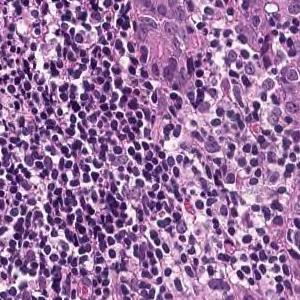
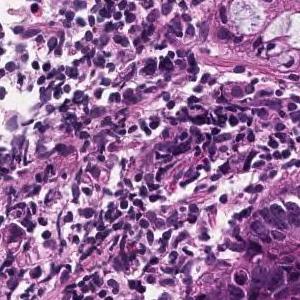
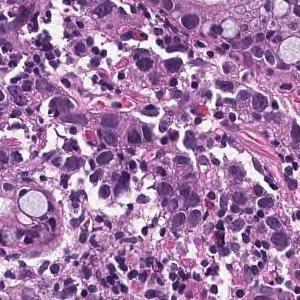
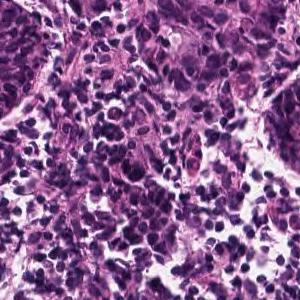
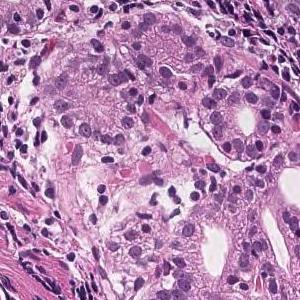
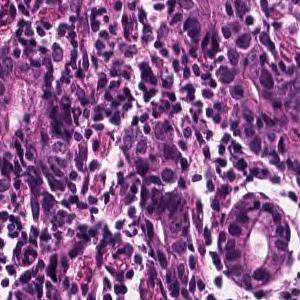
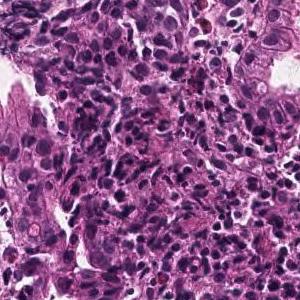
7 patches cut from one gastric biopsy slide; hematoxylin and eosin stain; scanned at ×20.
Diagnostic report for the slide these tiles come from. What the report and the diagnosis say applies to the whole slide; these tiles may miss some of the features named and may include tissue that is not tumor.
Tumor tissue consisting of medium-sized, cord-like or irregular glandular infiltration is observed in the superficial epithelium. Poorly differentiated adenocarcinoma, non-solid type or moderately differentiated tubular adenocarcinoma
Histological subtype: Moderately to poorly differentiated adenocarcinoma.
The non-solid type named here is a Japanese Classification of Gastric Carcinoma category.
